4 tiles cut from one stomach biopsy slide, 300×300 px each, ×20.
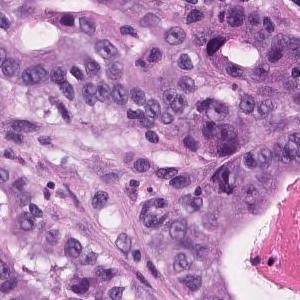
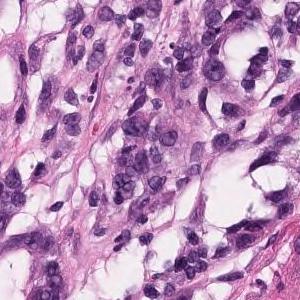
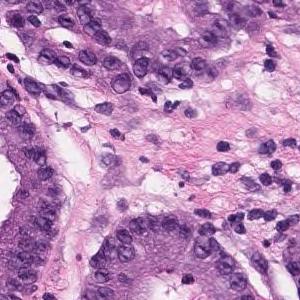
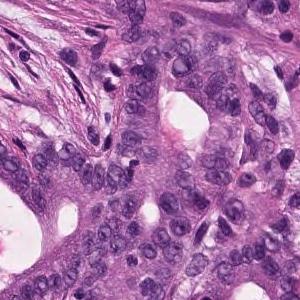
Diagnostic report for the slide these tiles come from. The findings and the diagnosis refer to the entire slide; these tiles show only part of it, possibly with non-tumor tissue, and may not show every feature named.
In the superficial epithelium, tumor tissue that invades by forming medium-sized to small, irregular ducts is observed. Moderately differentiated adenocarcinoma.
Subtype: Moderately differentiated tubular adenocarcinoma.
